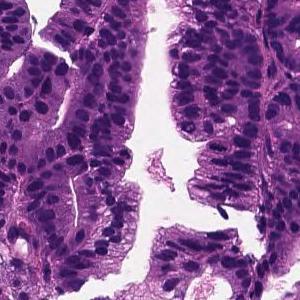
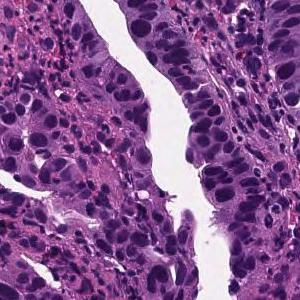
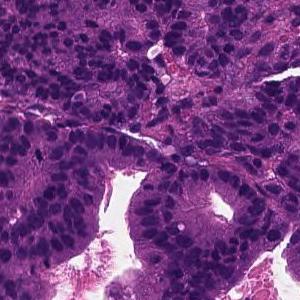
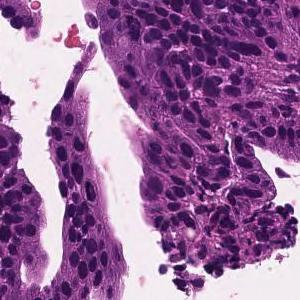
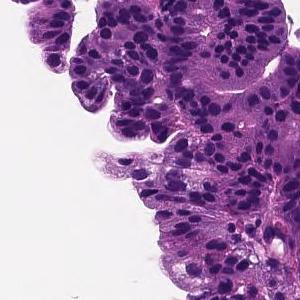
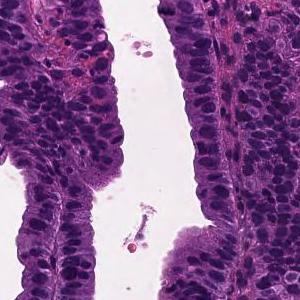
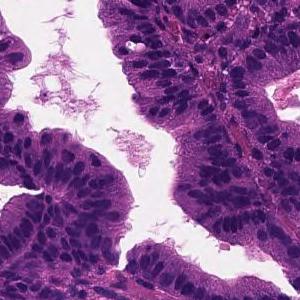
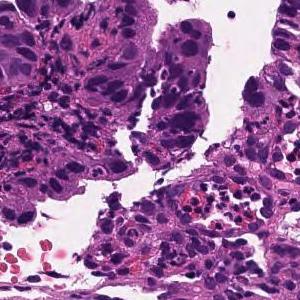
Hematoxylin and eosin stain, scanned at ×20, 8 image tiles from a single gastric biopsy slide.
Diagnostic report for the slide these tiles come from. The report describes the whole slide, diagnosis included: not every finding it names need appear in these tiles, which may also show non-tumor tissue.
Tumor cells are large, highly columnar, large club-shaped nuclei, and are associated with chromatin aggregation. Papillary adenocarcinoma.
